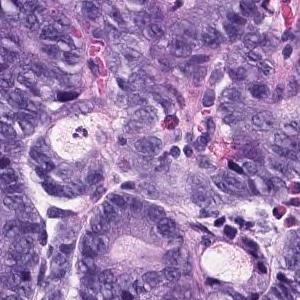
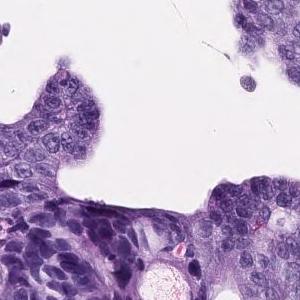
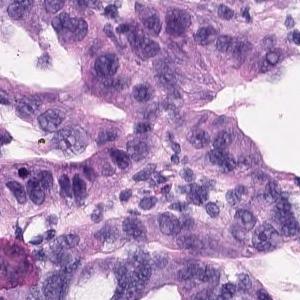
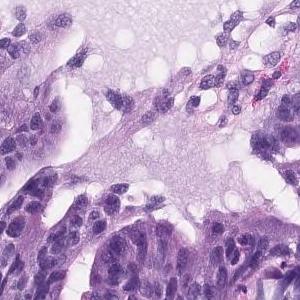
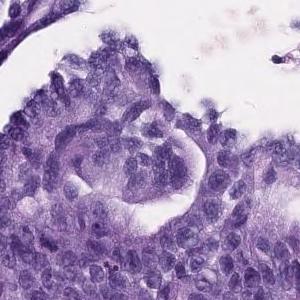
5 tiles from the same stomach biopsy slide, H&E stain.
Diagnostic report for the slide these tiles come from. The report and the diagnosis describe the slide as a whole, so these tiles may not show every feature named and may include non-tumor tissue.
In the superficial epithelium, tumor tissue that invades by forming medium-sized to small, irregular ducts is observed. Well to moderately differentiated tubular adenocarcinoma.
